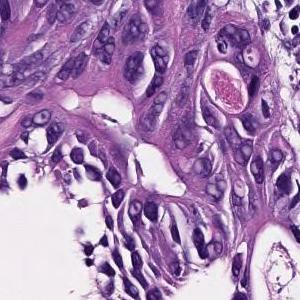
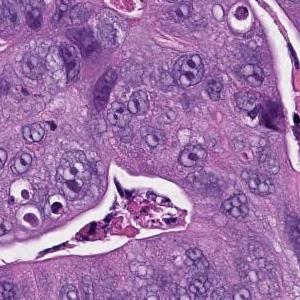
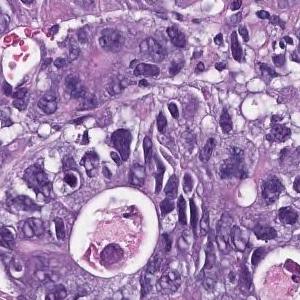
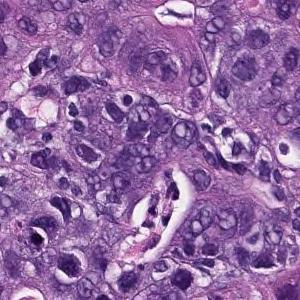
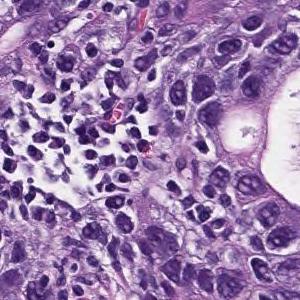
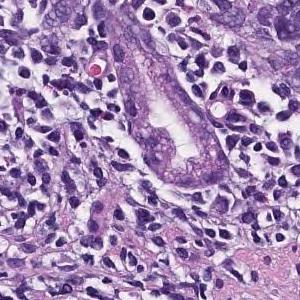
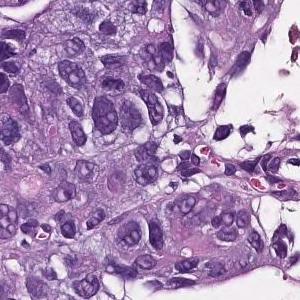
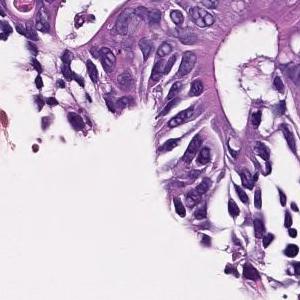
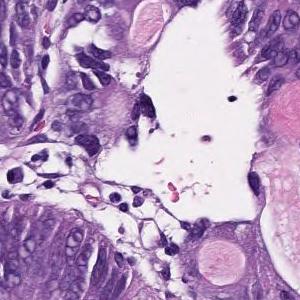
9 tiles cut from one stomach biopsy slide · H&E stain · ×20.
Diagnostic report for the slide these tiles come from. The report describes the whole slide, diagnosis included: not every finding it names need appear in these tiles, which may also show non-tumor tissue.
In the superficial epithelium, tumor tissue that invades by forming medium-sized to small, irregular ducts is observed. moderately differentiated tubular adenocarcinoma.
